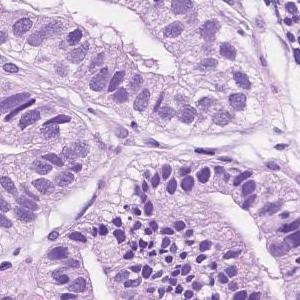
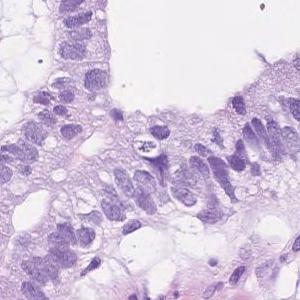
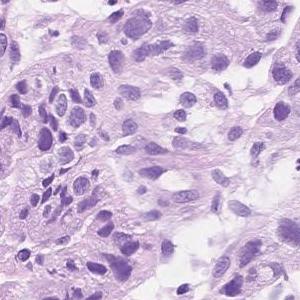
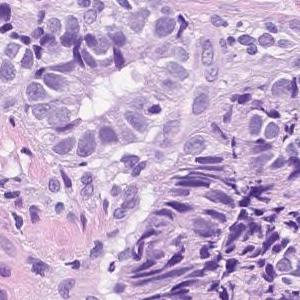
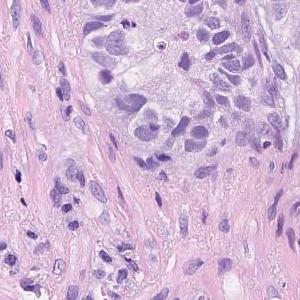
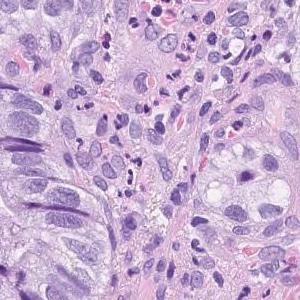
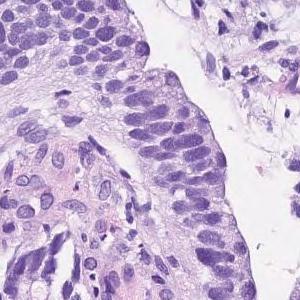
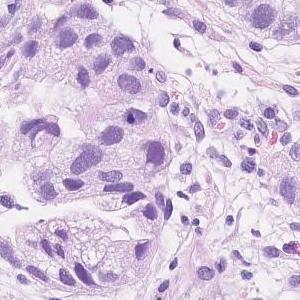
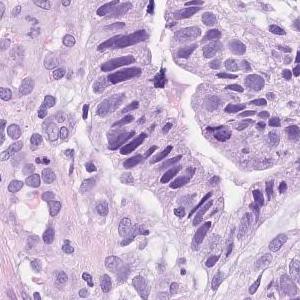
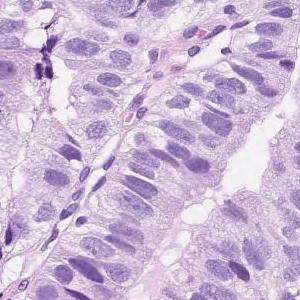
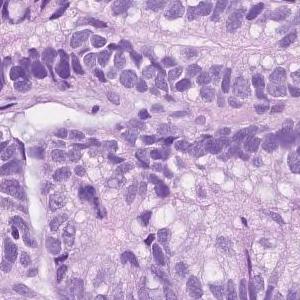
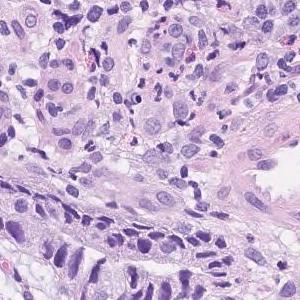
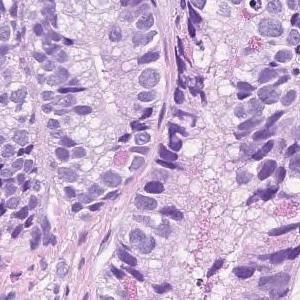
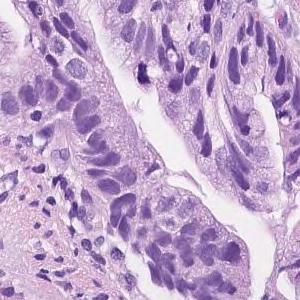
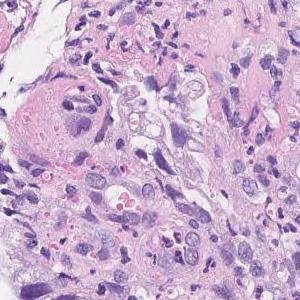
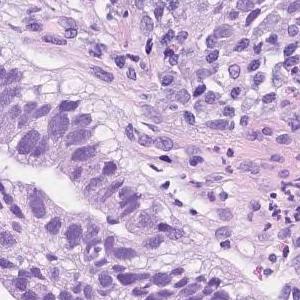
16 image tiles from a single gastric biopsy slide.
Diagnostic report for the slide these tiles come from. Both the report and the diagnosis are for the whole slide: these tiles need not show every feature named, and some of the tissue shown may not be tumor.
Atypical l cells with atypical nuclei forming solid or diffuse vesicles or small irregular atypical ducts and growing in a complex manner. moderately differentiated tubular adenocarcinoma
